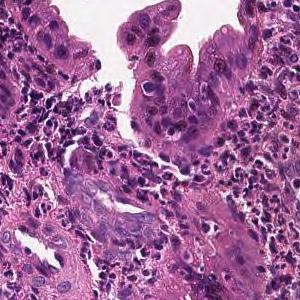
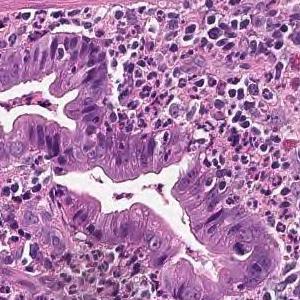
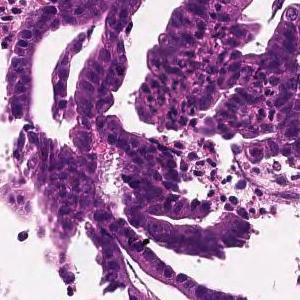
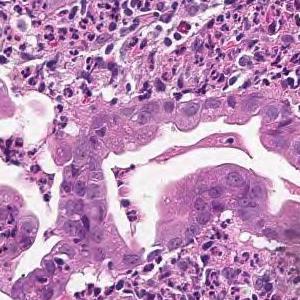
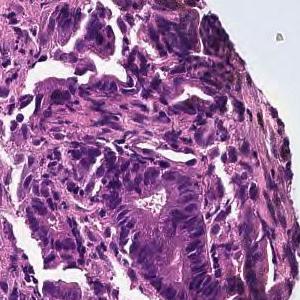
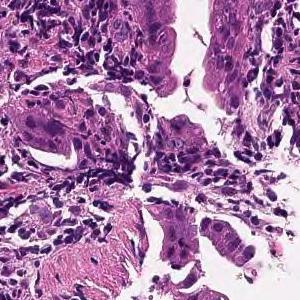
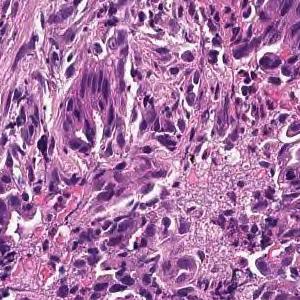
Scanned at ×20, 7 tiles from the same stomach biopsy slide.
Diagnostic report for the slide these tiles come from. The report and the diagnosis describe the slide as a whole, so these tiles may not show every feature named and may include non-tumor tissue.
From the superficial epithelium to the muscularis mucosae, tumor tissue consisting of medium-sized and irregular glandular ducts infiltrating is observed. Well differentiated tubular adenocarcinoma
